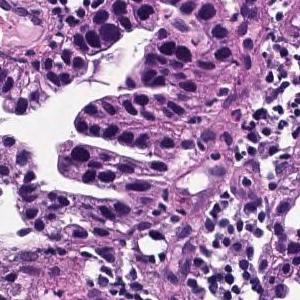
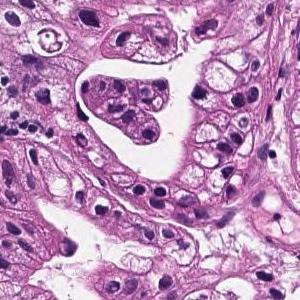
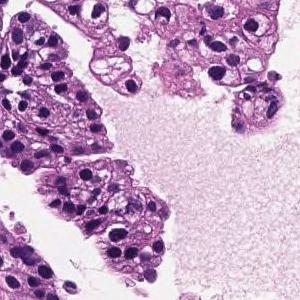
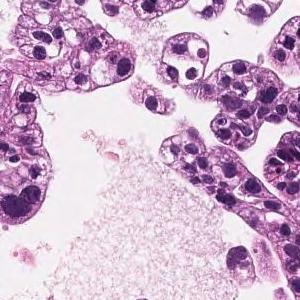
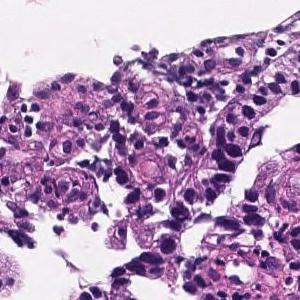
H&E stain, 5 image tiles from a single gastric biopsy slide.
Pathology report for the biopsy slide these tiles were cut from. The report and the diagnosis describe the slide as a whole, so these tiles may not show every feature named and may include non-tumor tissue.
On the superficial epithelium, tumor tissue that infiltrates by forming medium-sized papillary or small irregular ducts is observed. Papillary adenocarcinoma
